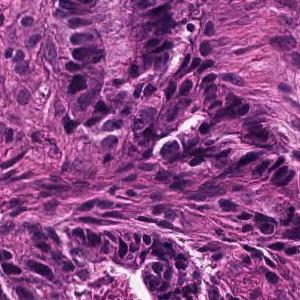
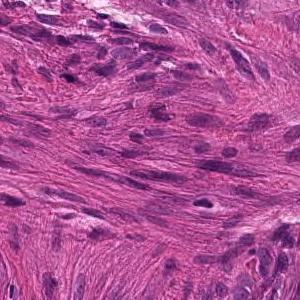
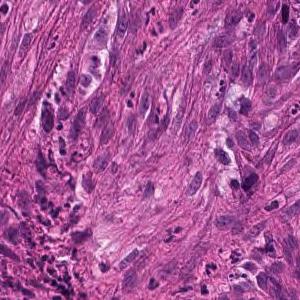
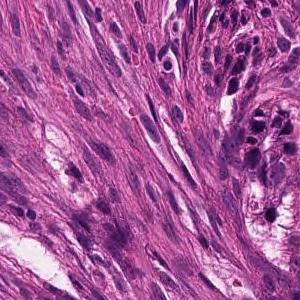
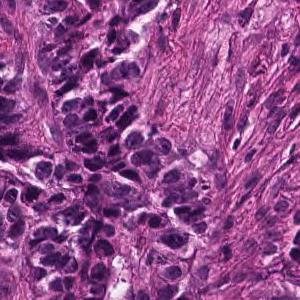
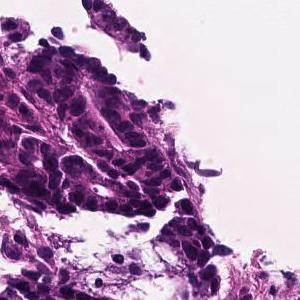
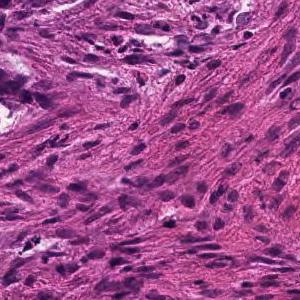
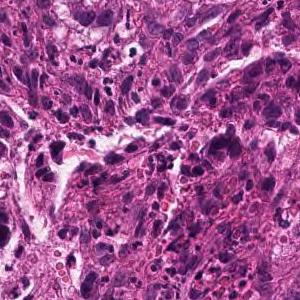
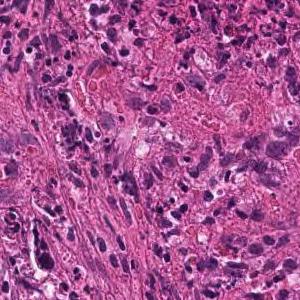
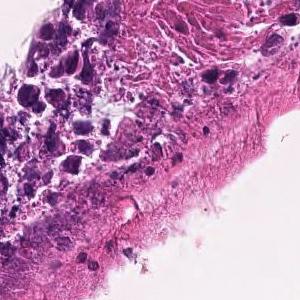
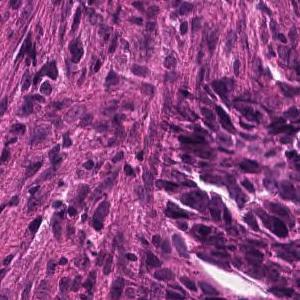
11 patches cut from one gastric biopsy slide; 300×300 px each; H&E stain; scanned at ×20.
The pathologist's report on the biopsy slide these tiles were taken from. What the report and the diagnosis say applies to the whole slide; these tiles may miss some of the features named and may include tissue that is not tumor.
In the superficial epithelium, tumor tissue that invades by forming medium-sized to small, irregular ducts is observed. moderately differentiated tubular adenocarcinoma.
